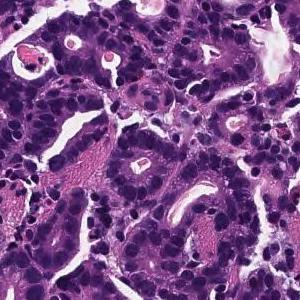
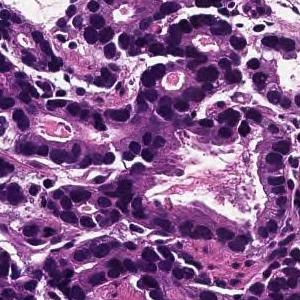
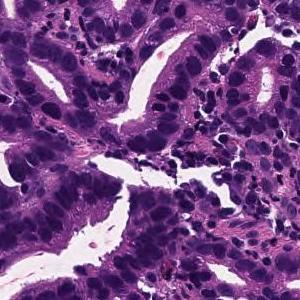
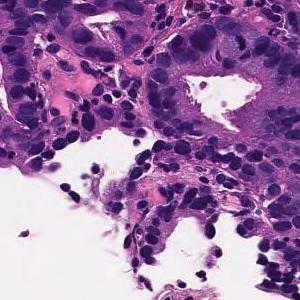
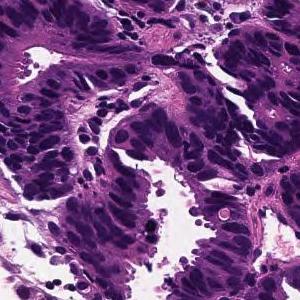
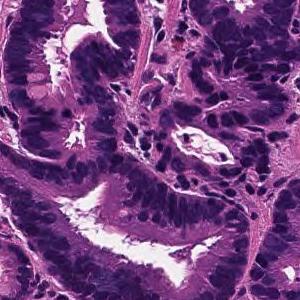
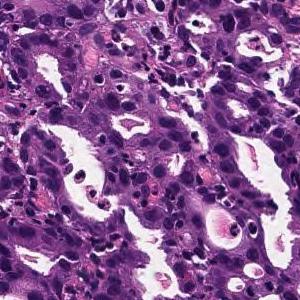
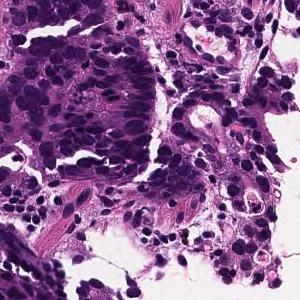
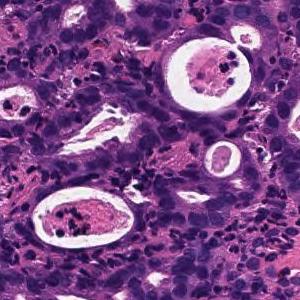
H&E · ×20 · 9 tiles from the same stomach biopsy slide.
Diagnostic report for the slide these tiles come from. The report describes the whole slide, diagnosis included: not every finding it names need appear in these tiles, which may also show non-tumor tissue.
On the superficial epithelium, tumor tissue is found in which medium-sized irregular gland ducts fuse with each other and infiltrate. moderately differentiated tubular adenocarcinoma
